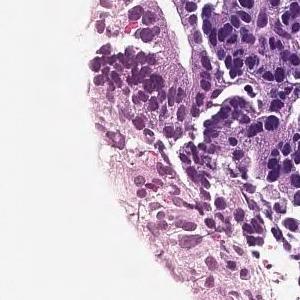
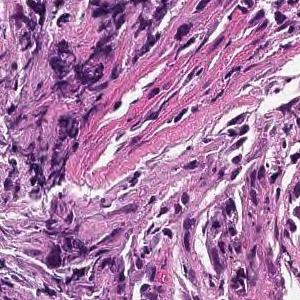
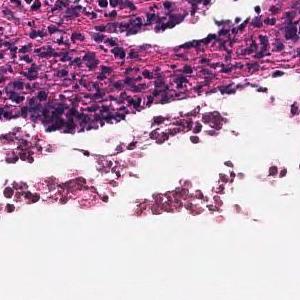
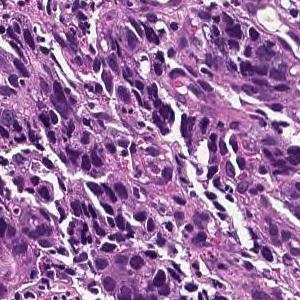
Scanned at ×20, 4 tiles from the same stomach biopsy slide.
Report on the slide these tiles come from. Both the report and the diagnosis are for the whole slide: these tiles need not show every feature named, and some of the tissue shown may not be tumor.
In the superficial epithelium, tumor tissue that invades by forming medium-sized to small, irregular ducts is observed. moderately differentiated tubular adenocarcinoma.
